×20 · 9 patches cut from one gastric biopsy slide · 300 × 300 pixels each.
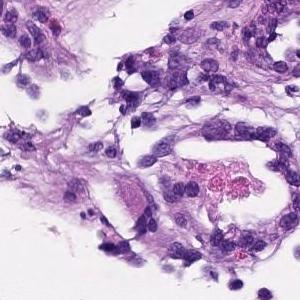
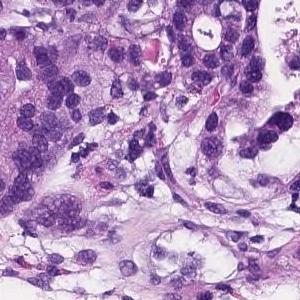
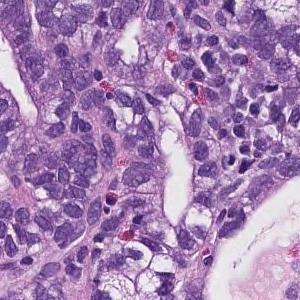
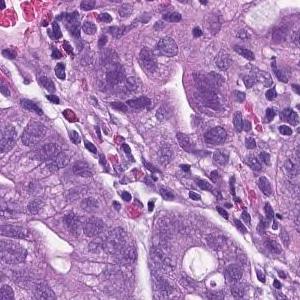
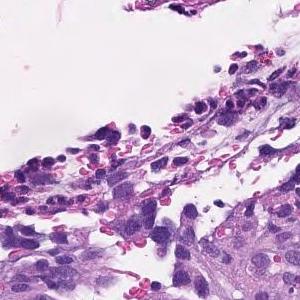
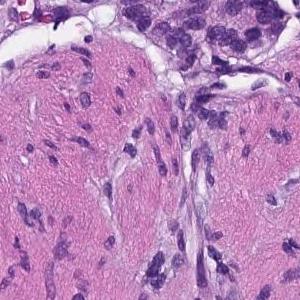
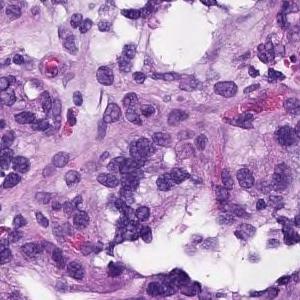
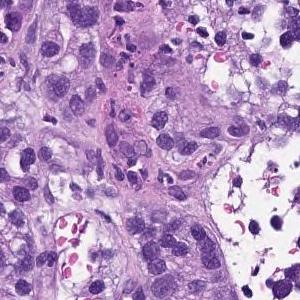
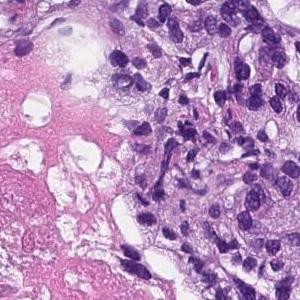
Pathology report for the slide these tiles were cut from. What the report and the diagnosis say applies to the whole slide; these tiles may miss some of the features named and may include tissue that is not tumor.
From the superficial epithelium to the muscularis mucosae, tumor tissue consisting of medium-sized and irregular glandular ducts infiltrating is observed. Well differentiated tubular adenocarcinoma
